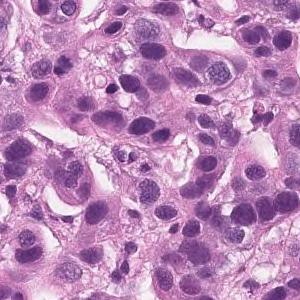
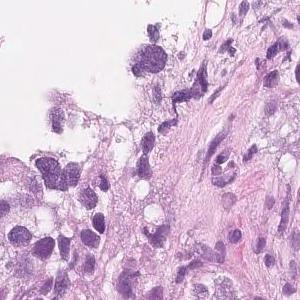
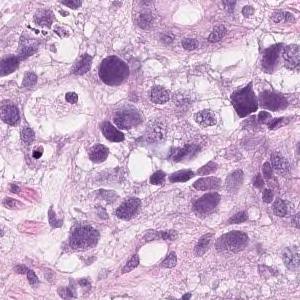
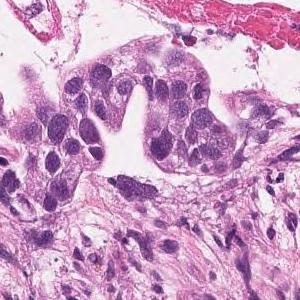
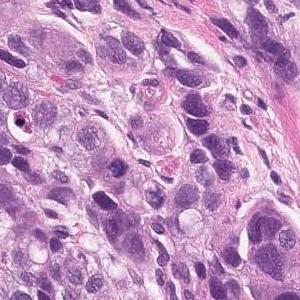
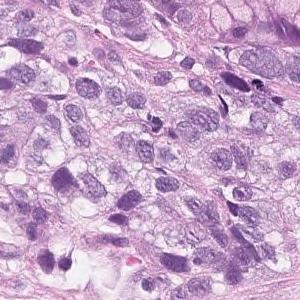
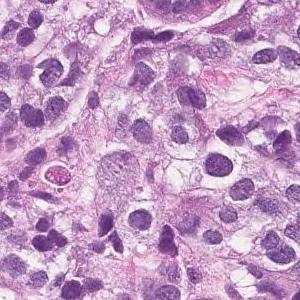
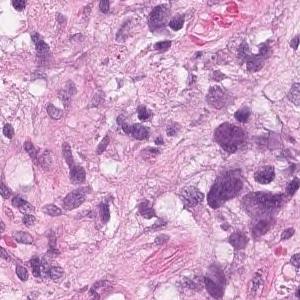
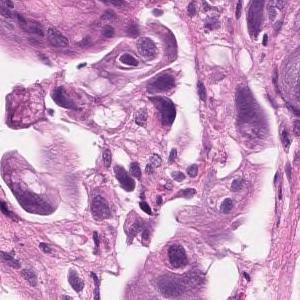
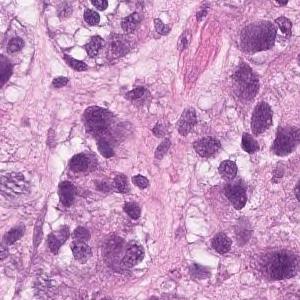
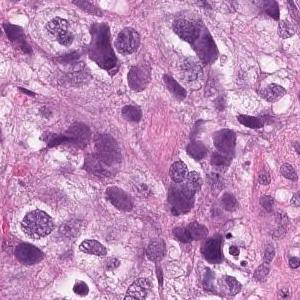
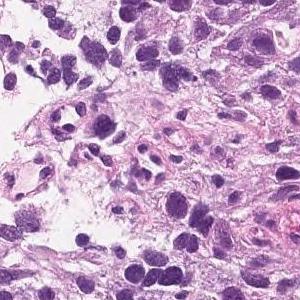
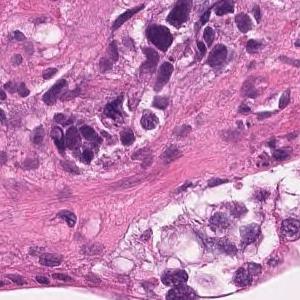
H&E stain, 20× magnification, 13 patches cut from one gastric biopsy slide, 300 × 300 pixels each.
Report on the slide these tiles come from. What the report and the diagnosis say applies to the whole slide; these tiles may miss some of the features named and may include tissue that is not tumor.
Tumor tissue that infiltrates the epithelium in an alveolar manner. Poorly differentiated adenocarcinoma, solid-type
Classified as poorly differentiated adenocarcinoma, solid type, a category of the Japanese Classification of Gastric Carcinoma; in the WHO 2019 classification it is tubular adenocarcinoma, poorly differentiated.
